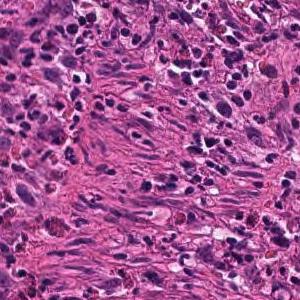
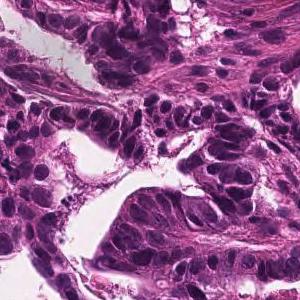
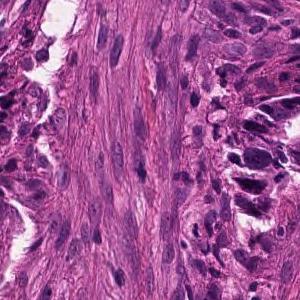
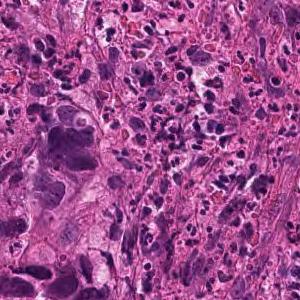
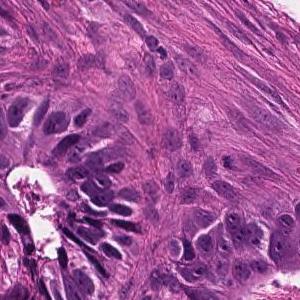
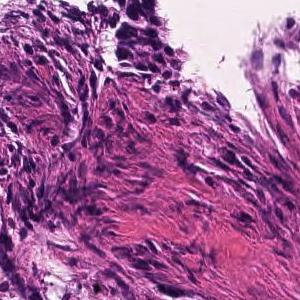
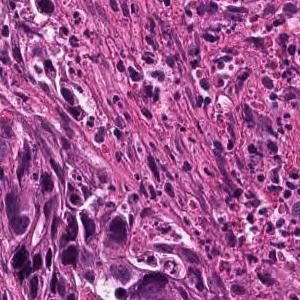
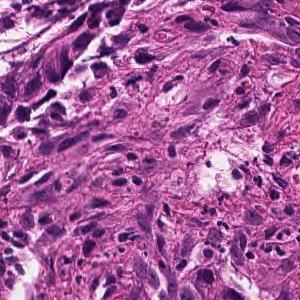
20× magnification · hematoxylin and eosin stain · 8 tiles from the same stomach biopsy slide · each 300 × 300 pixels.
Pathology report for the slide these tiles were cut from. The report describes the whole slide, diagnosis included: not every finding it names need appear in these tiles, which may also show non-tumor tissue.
In the superficial epithelium, tumor tissue that invades by forming medium-sized to small, irregular ducts is observed. moderately differentiated tubular adenocarcinoma.
